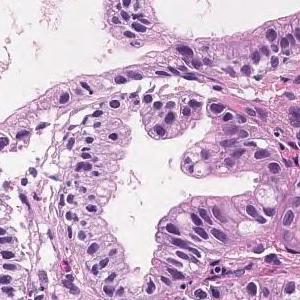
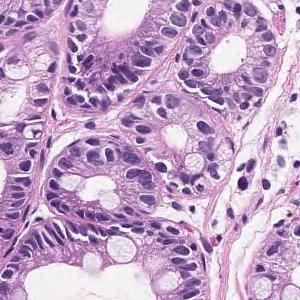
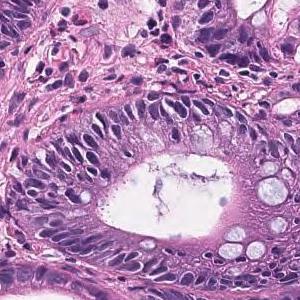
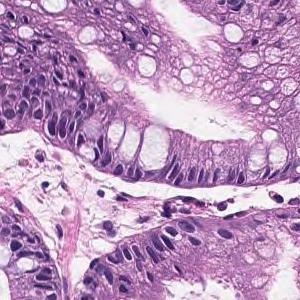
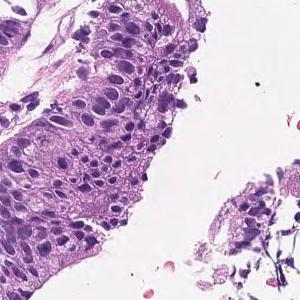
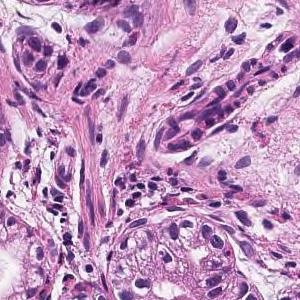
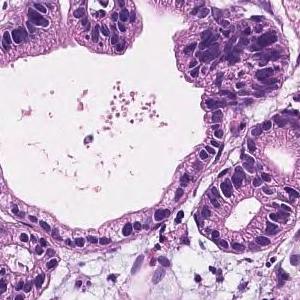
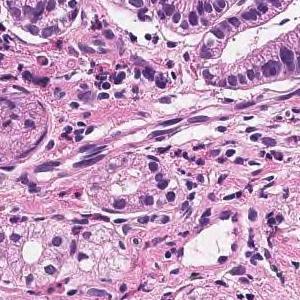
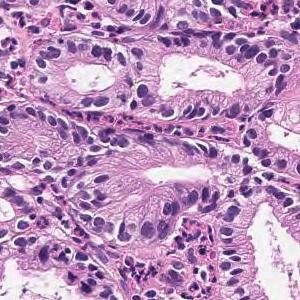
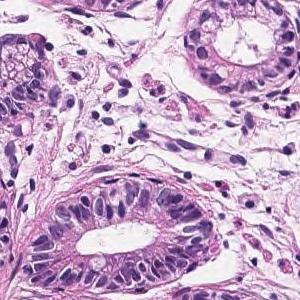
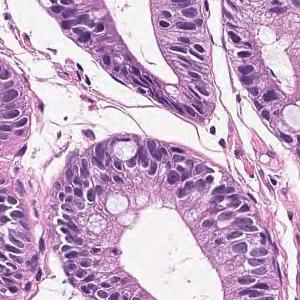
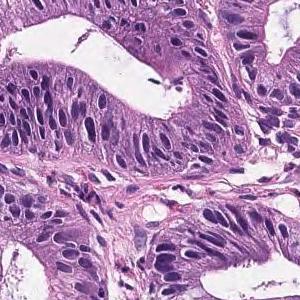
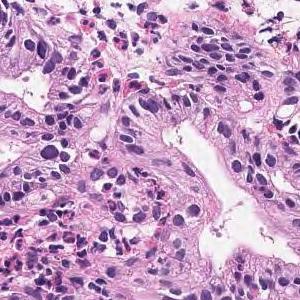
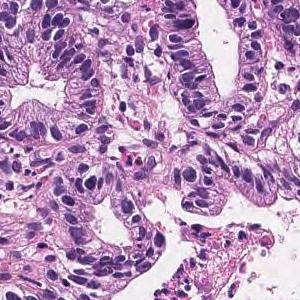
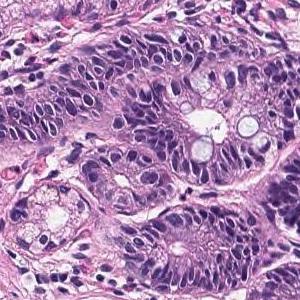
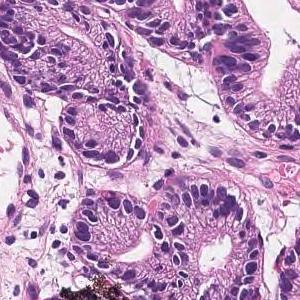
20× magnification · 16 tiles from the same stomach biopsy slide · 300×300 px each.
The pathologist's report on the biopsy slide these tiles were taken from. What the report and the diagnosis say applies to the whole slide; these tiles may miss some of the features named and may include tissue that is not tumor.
In the superficial epithelium, tumor tissue that invades by forming medium-sized to small, irregular ducts is observed. Well differentiated tubular adenocarcinoma.
